×20, hematoxylin and eosin stain, 12 tiles from the same stomach biopsy slide, 300 × 300 pixels each.
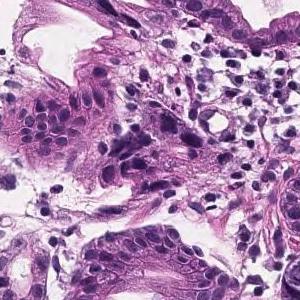
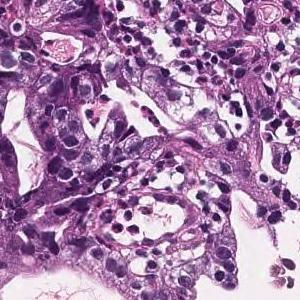
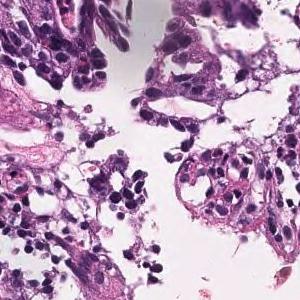
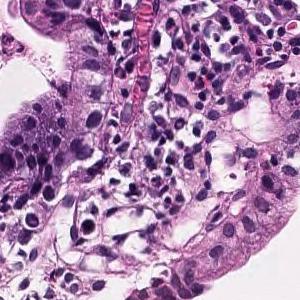
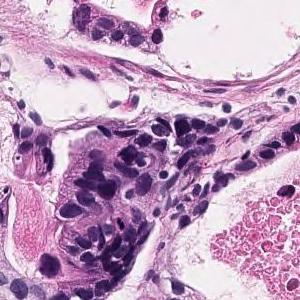
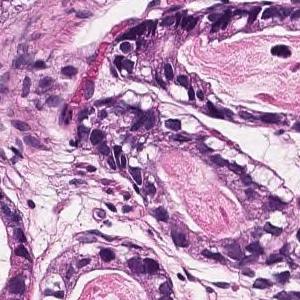
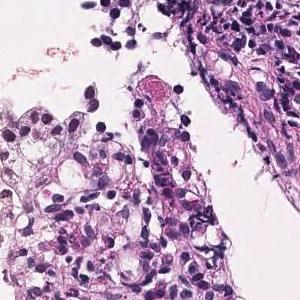
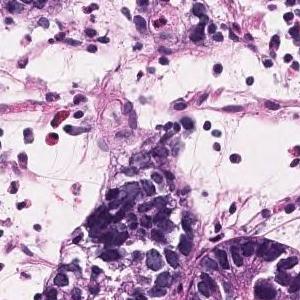
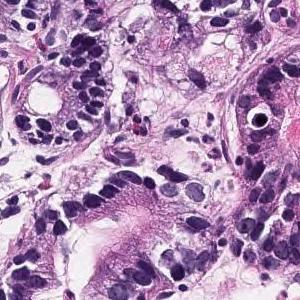
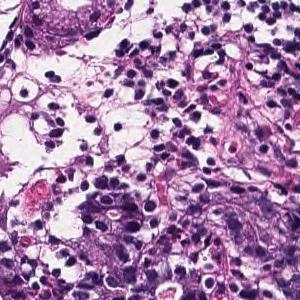
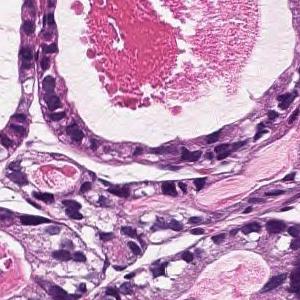
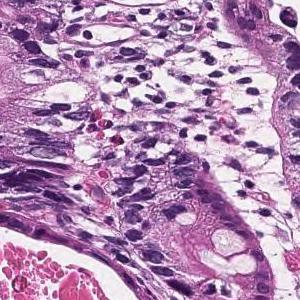
The pathologist's report on the biopsy slide these tiles were taken from. Both the report and the diagnosis are for the whole slide: these tiles need not show every feature named, and some of the tissue shown may not be tumor.
Tumor tissue consisting of medium-sized and irregular ducts is observed infiltrating in the superficial epithelium. Tumor cells are highly columnar, with nuclei aligned basolaterally and polarized. Well differentiated tubular adenocarcinoma.
